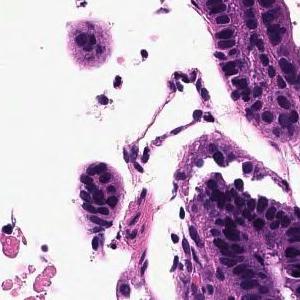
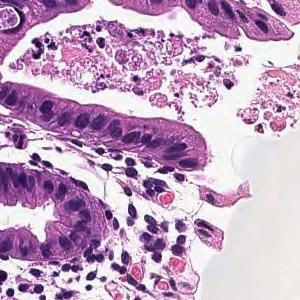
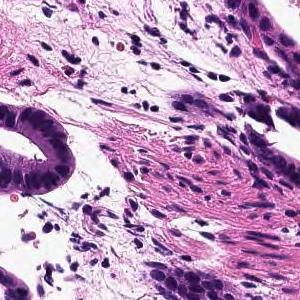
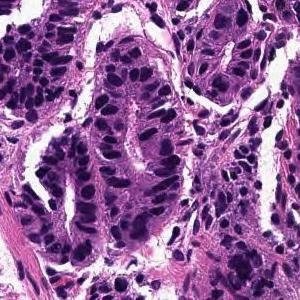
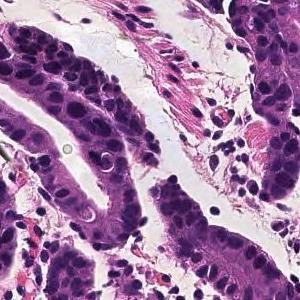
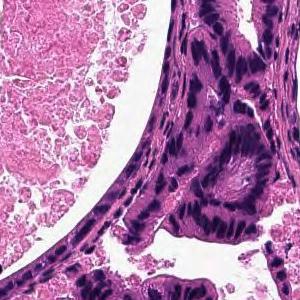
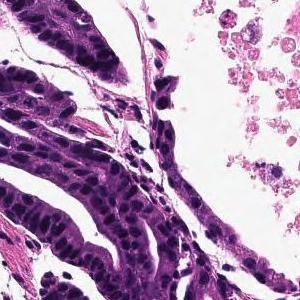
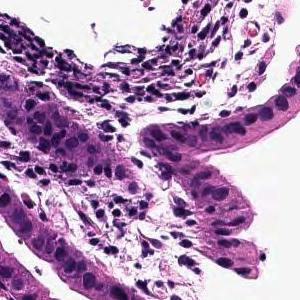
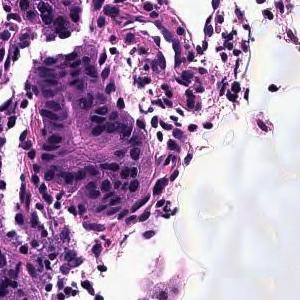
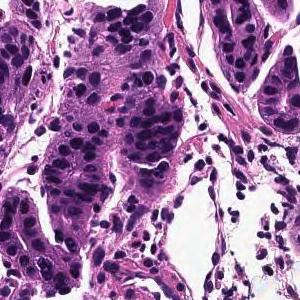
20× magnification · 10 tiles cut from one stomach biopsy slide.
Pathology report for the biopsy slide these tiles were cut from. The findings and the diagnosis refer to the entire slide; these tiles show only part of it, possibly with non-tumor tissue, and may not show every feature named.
From the superficial epithelium to the muscularis mucosae, tumor tissue consisting of medium-sized and irregular glandular ducts infiltrating is observed. Well differentiated tubular adenocarcinoma
